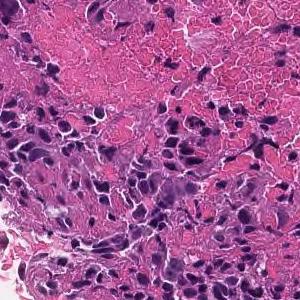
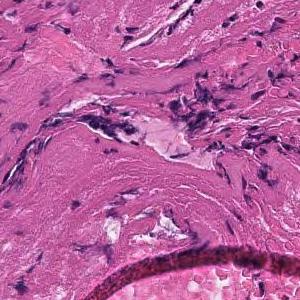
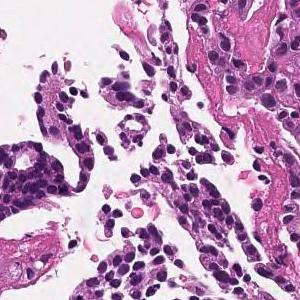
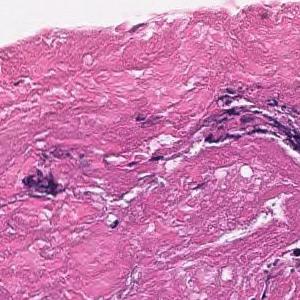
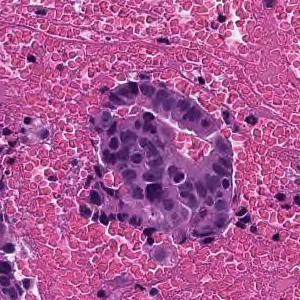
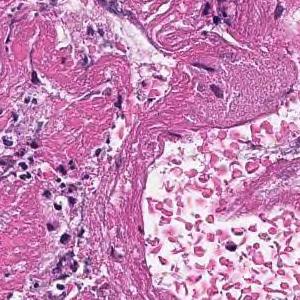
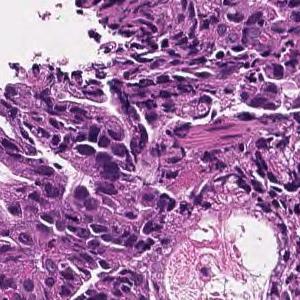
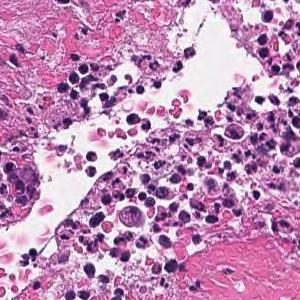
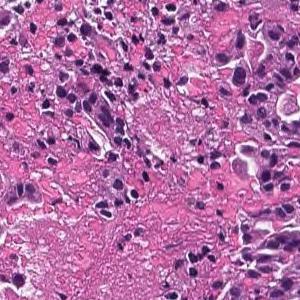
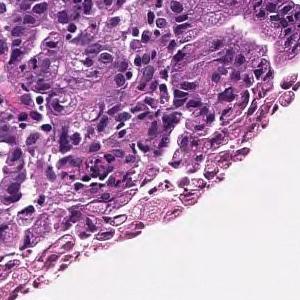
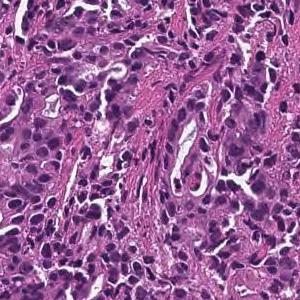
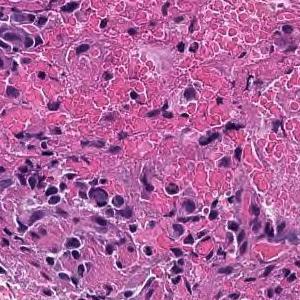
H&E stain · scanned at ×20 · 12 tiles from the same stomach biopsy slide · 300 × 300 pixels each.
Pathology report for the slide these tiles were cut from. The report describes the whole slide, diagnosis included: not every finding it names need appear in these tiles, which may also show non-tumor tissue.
On the superficial epithelium, tumor tissue that infiltrates by forming medium-sized papillary or small irregular ducts is observed. Papillary adenocarcinoma
